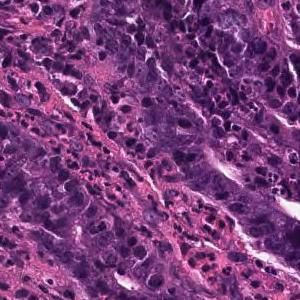
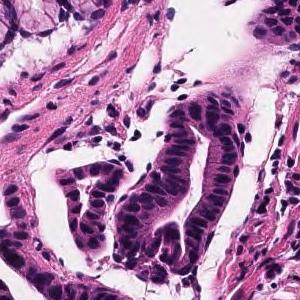
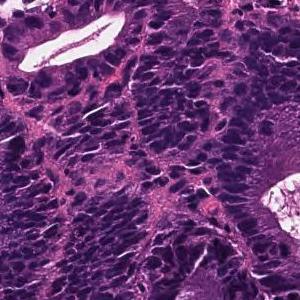
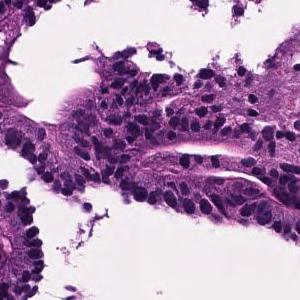
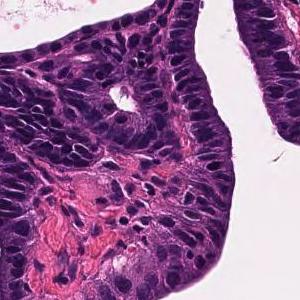
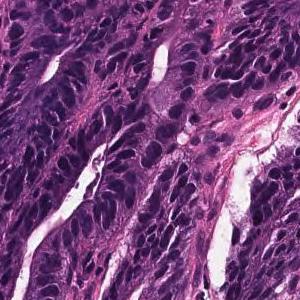
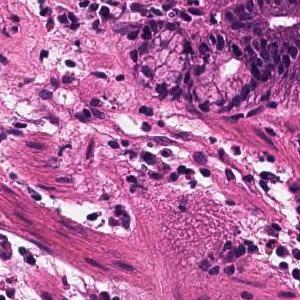
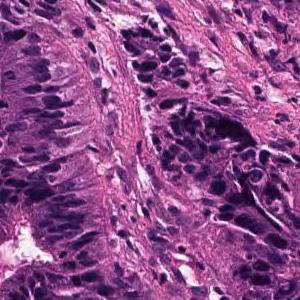
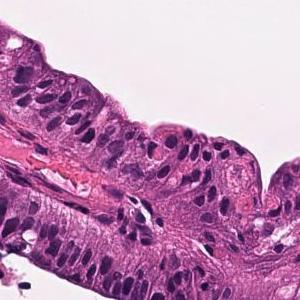
H&E stain; 9 image tiles from a single gastric biopsy slide; 300 × 300 pixels each.
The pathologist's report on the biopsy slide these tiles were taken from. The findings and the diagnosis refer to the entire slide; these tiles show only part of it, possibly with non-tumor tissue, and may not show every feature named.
Tumor tissue that remains within the superficial epithelium and is infiltrated by large papillary or irregular ducts that fuse with each other is observed. Well differentiated tubular adenocarcinoma
